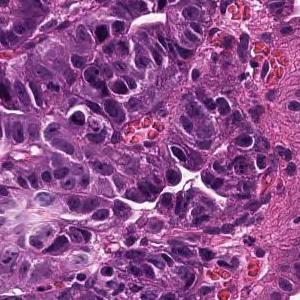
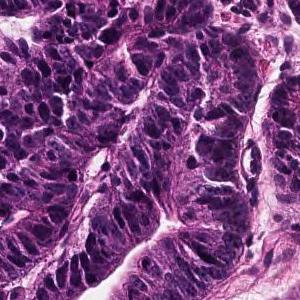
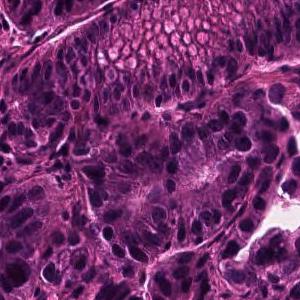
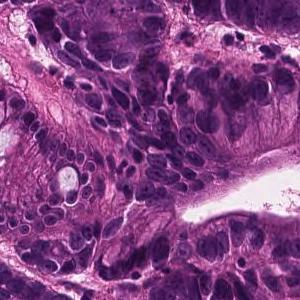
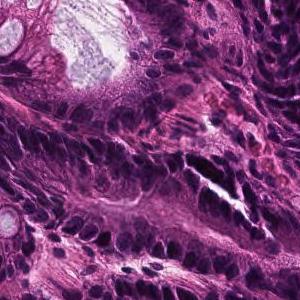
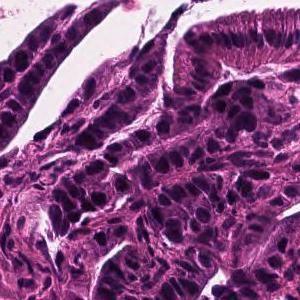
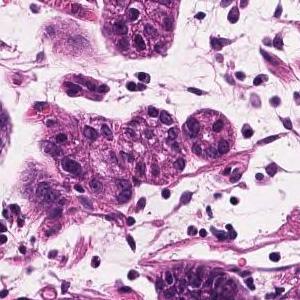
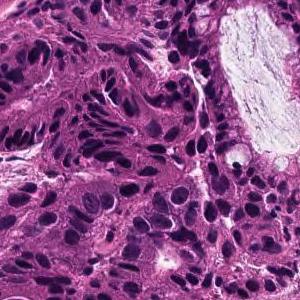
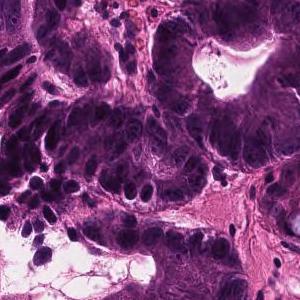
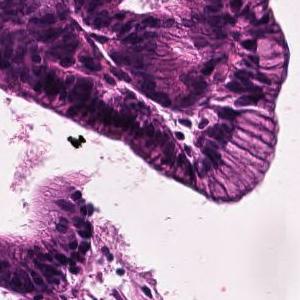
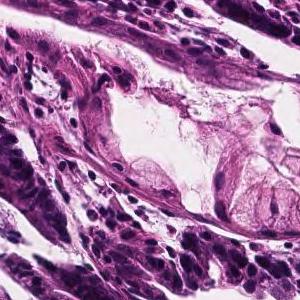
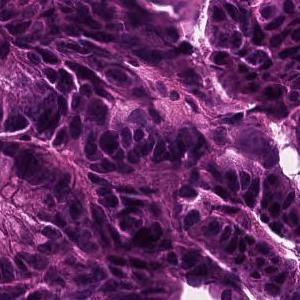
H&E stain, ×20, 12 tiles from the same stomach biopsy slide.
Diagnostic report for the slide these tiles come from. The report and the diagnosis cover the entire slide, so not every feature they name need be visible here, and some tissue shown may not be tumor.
In the superficial epithelium, tumor tissue that invades by forming medium-sized to small, irregular ducts is observed. Well differentiated tubular adenocarcinoma.
